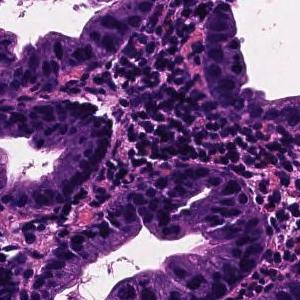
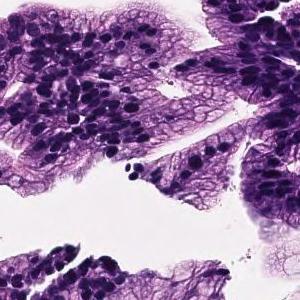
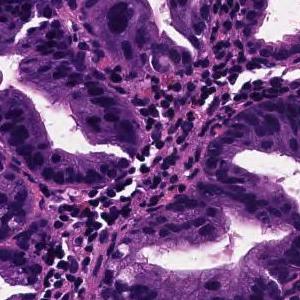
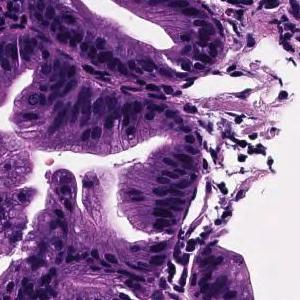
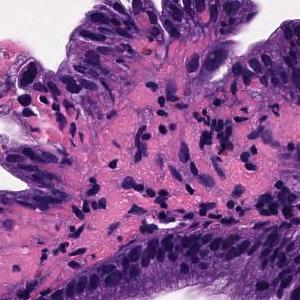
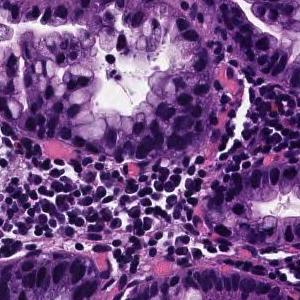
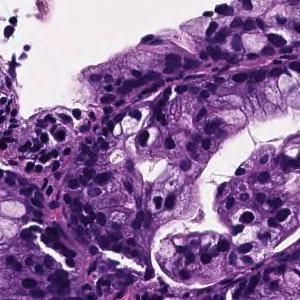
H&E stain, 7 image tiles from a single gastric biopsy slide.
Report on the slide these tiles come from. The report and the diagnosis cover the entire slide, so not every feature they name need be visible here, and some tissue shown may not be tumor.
On the superficial epithelium, tumor tissue that infiltrates by forming medium-sized papillary or small irregular ducts is observed. Papillary adenocarcinoma
